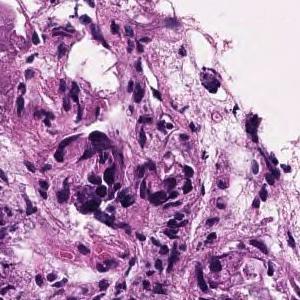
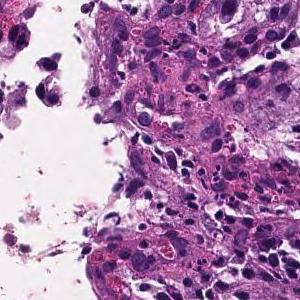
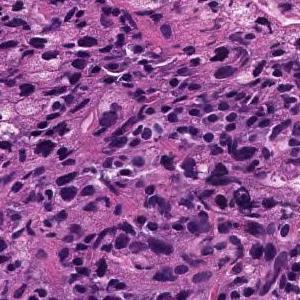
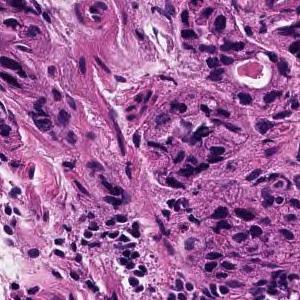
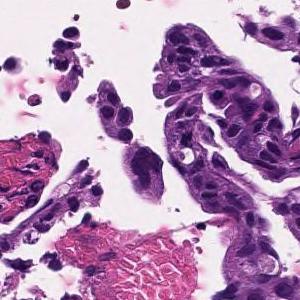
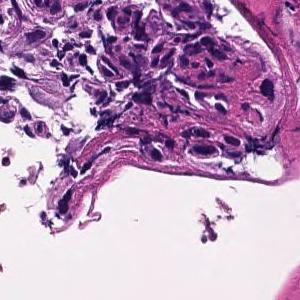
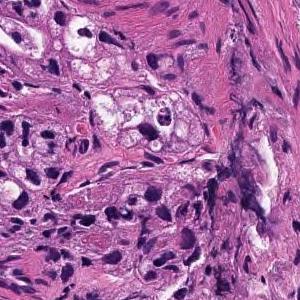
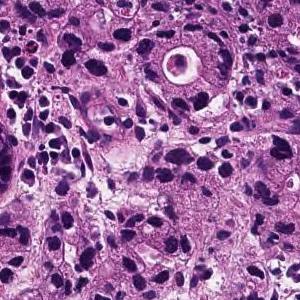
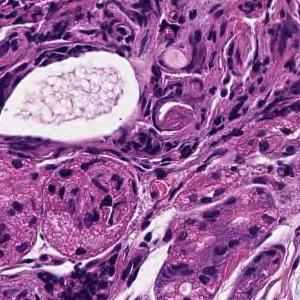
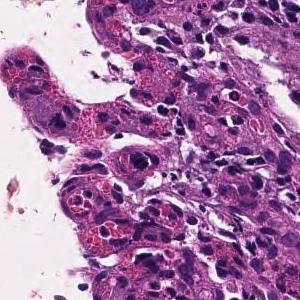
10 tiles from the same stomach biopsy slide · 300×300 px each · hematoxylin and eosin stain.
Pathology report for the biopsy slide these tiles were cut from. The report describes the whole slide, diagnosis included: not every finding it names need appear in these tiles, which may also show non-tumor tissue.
In the superficial epithelium, tumor tissue that invades by forming medium-sized to small, irregular ducts is observed. moderately differentiated tubular adenocarcinoma.
